4 image tiles from a single gastric biopsy slide · ×20.
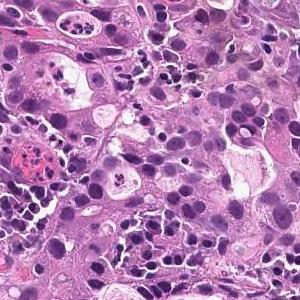
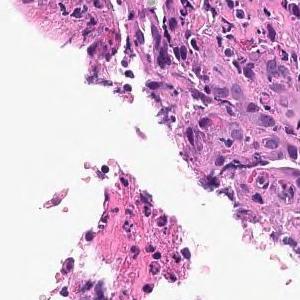
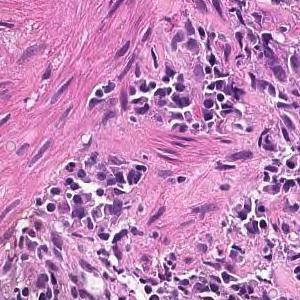
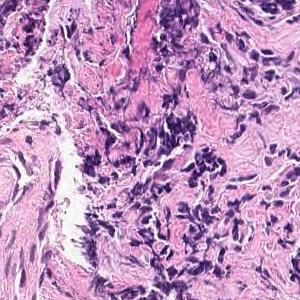
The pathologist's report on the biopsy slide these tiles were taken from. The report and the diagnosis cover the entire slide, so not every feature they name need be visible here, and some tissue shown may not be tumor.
On the superficial epithelium, tumor tissue consisting of large irregular glandular ducts partially fused and infiltrated is observed. Well to moderately differentiated tubular adenocarcinoma (well differentiated tubular adenocarcinoma, moderately differentiated tubular adenocarcinoma)
Tumor subtype: well to moderately differentiated tubular adenocarcinoma.
